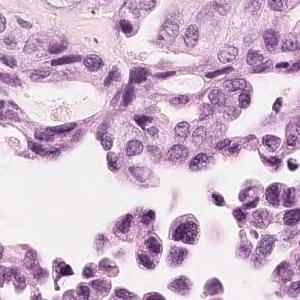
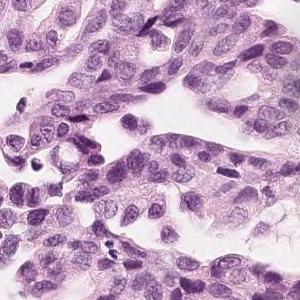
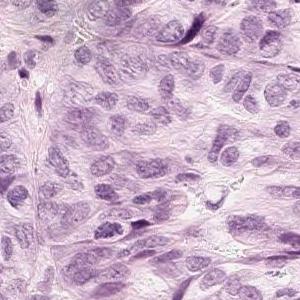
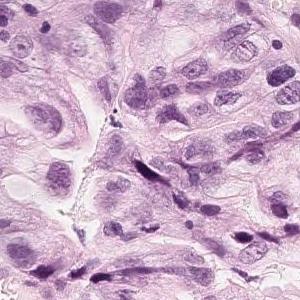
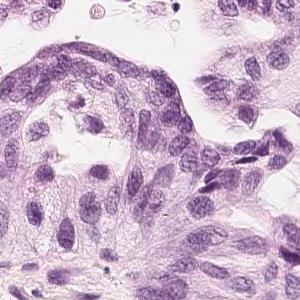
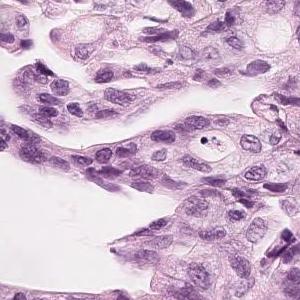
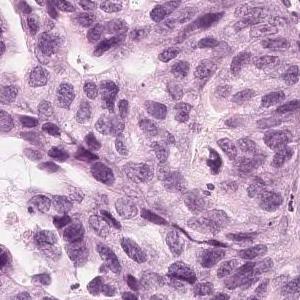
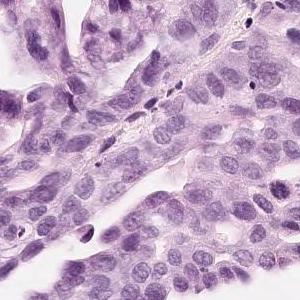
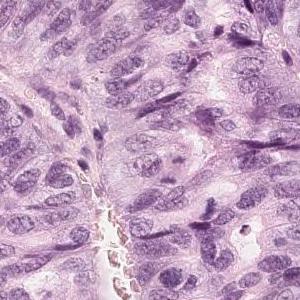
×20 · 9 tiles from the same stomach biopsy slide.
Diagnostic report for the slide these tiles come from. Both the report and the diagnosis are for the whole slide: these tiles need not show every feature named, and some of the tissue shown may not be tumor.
Tumor tissue in which medium-sized atypical epithelial cells with a large N/C ratio grow densely while becoming alveolar to cord-like with duct formation is observed. moderately differentiated tubular adenocarcinoma
